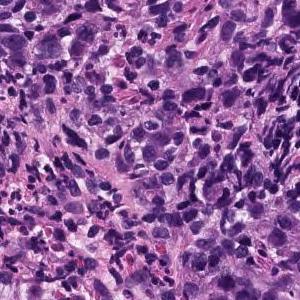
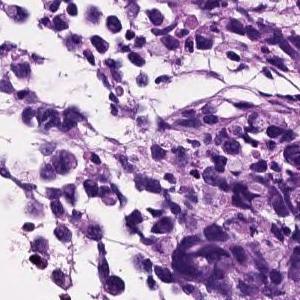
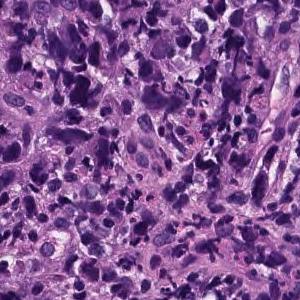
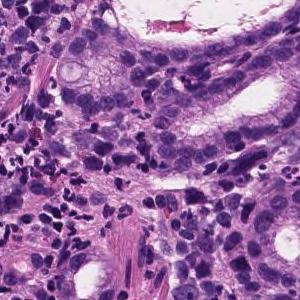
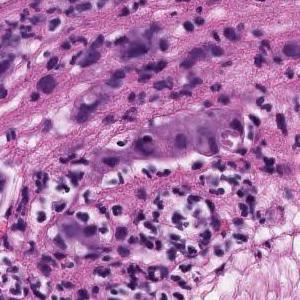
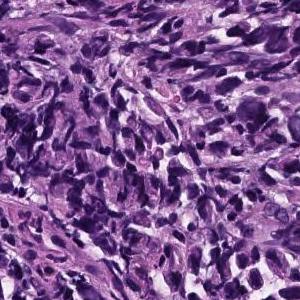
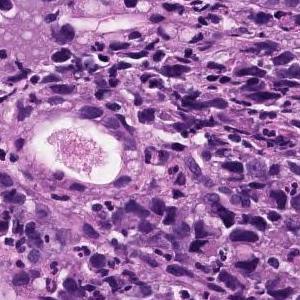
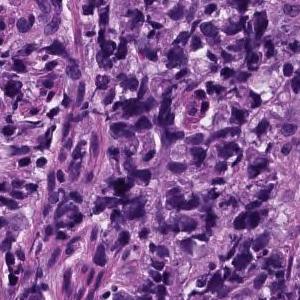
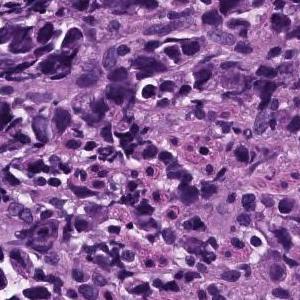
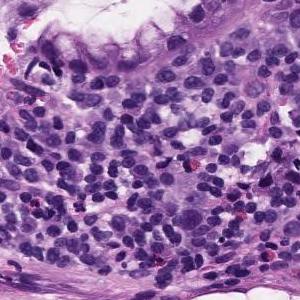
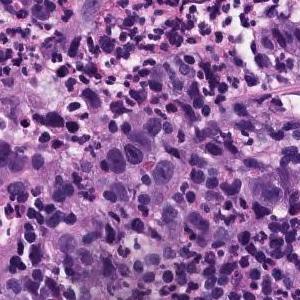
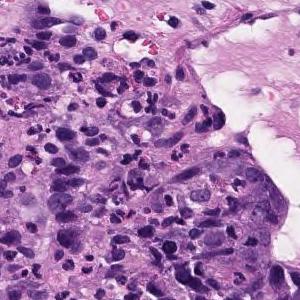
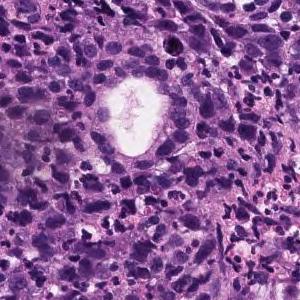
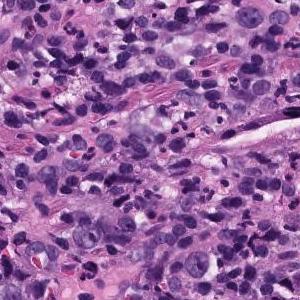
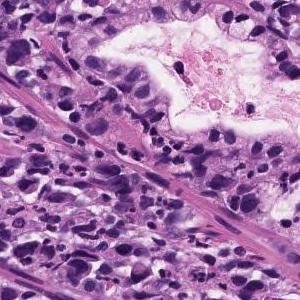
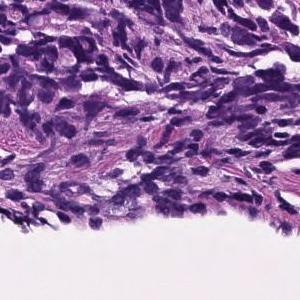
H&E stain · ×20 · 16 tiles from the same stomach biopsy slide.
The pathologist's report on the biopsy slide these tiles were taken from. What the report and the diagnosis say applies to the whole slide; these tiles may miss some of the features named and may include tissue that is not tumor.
Poorly differentiated, solid adenocarcinoma (poorly differentiated adenocarcinoma, solid type) with tumor tissue diffusely infiltrated with atypical epithelial cells
Tumor subtype: poorly differentiated adenocarcinoma, solid type. This name comes from the Japanese Classification of Gastric Carcinoma; the WHO 2019 classification calls it tubular adenocarcinoma, poorly differentiated.
